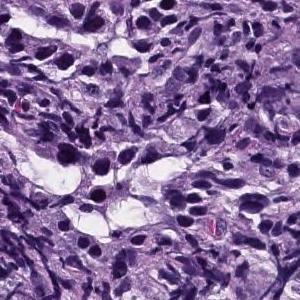
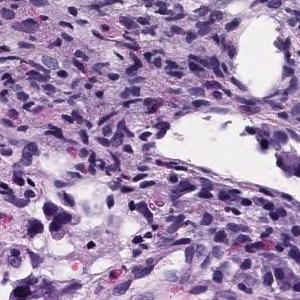
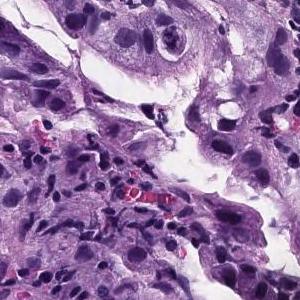
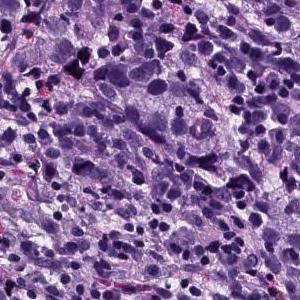
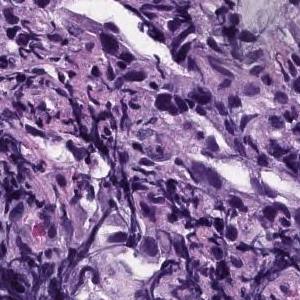
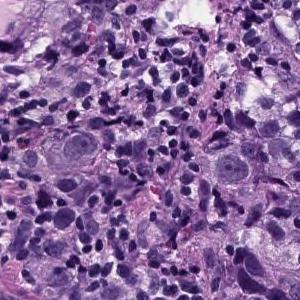
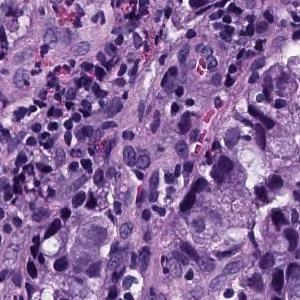
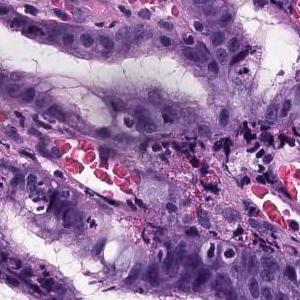
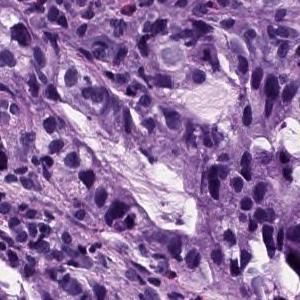
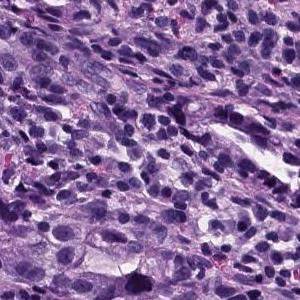
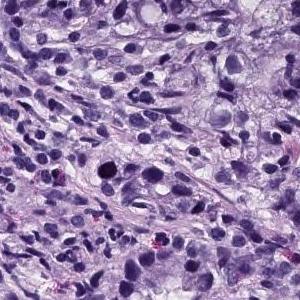
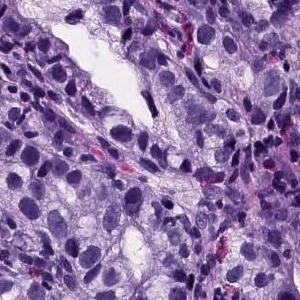
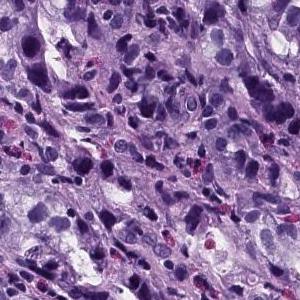
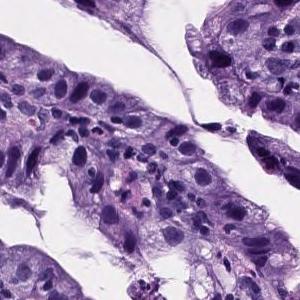
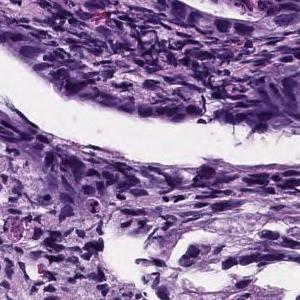
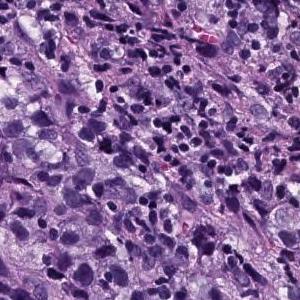
20× magnification · 16 patches cut from one gastric biopsy slide · 300 × 300 pixels each.
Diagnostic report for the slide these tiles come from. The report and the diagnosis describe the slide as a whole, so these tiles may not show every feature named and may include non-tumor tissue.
Atypical epithelial cells infiltrating and proliferating while forming solid or cord-like fused glandular cavities of different sizes is observed. moderately differentiated tubular adenocarcinoma, poorly differentiated adenocarcinoma.
Subtype: Moderately to poorly differentiated adenocarcinoma.
